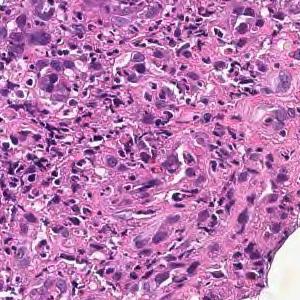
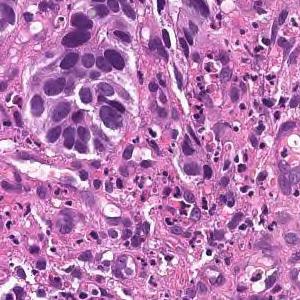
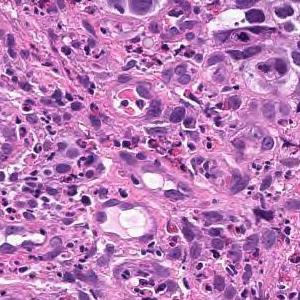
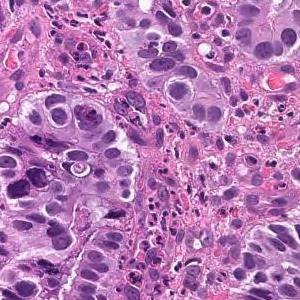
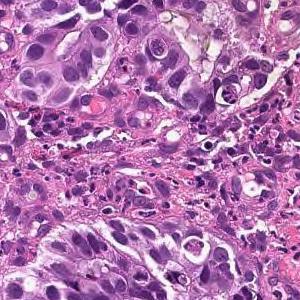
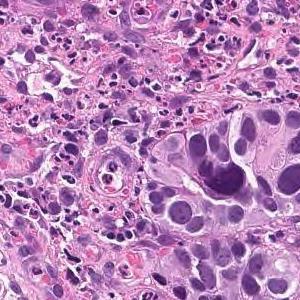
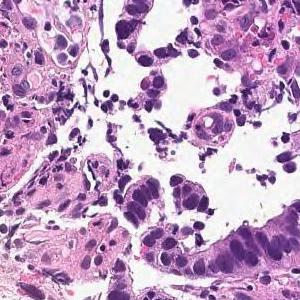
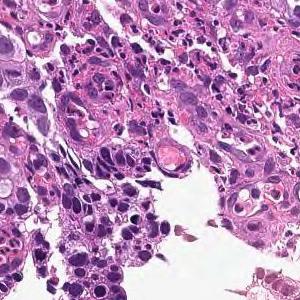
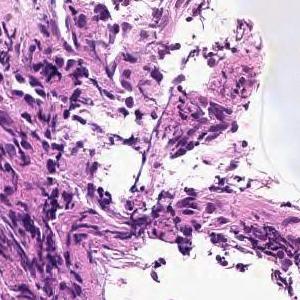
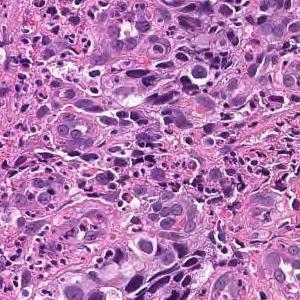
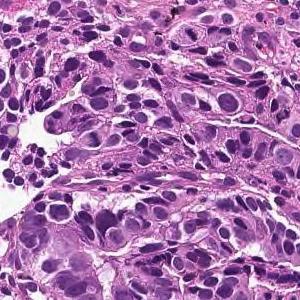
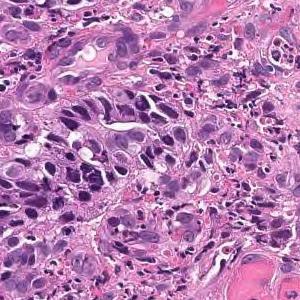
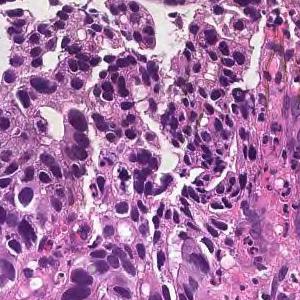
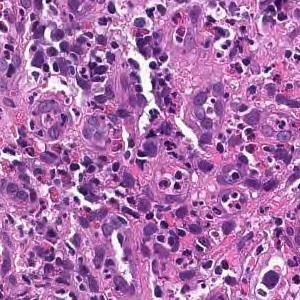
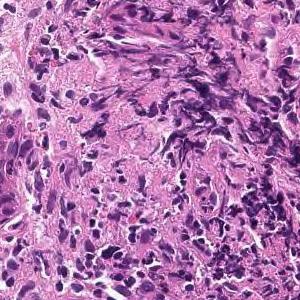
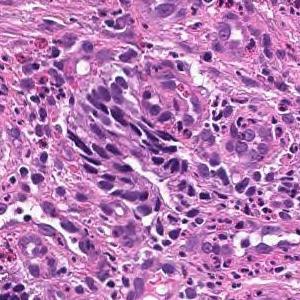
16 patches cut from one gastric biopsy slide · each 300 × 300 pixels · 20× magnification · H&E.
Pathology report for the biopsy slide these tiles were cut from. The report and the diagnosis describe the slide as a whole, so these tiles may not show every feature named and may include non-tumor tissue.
On the superficial epithelium, tumor tissue consisting of large irregular glandular ducts partially fused and infiltrated is observed. Well to moderately differentiated tubular adenocarcinoma (well differentiated tubular adenocarcinoma, moderately differentiated tubular adenocarcinoma)
Histologic type: Well to moderately differentiated tubular adenocarcinoma.
